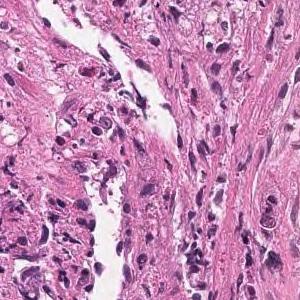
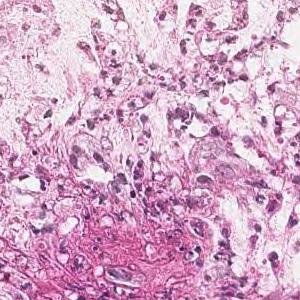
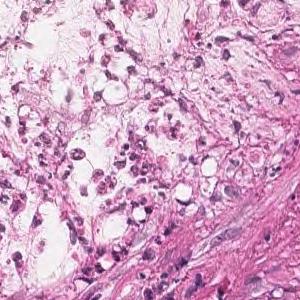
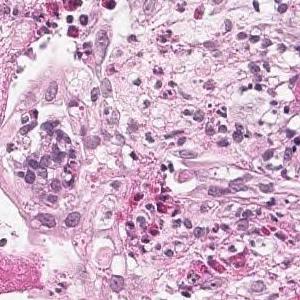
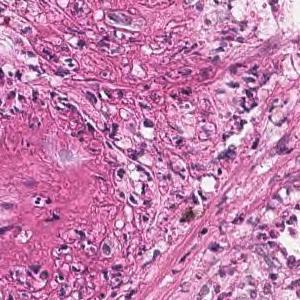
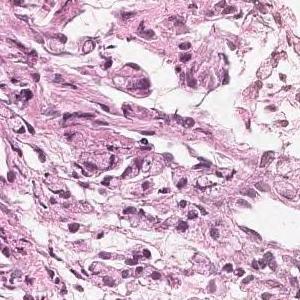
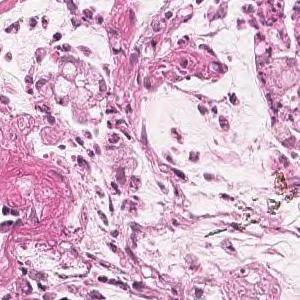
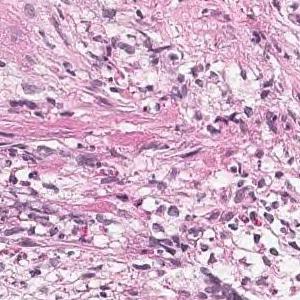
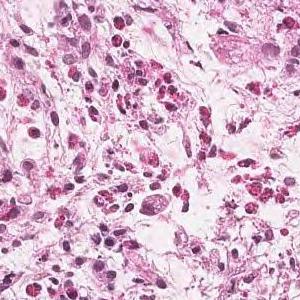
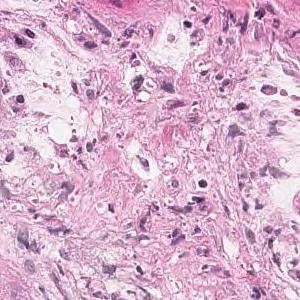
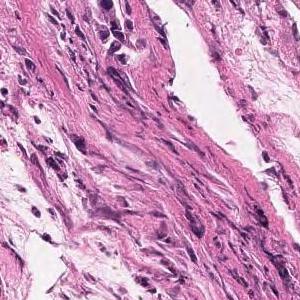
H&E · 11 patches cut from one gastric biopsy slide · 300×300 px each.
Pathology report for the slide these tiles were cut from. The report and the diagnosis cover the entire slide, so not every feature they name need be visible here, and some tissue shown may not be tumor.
Tumor tissue is observed in which atypical epithelial cells with mucus in the vesicles proliferate while being isolated. Signet ring cell carcinoma
